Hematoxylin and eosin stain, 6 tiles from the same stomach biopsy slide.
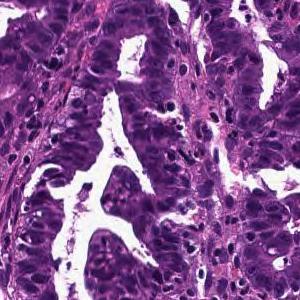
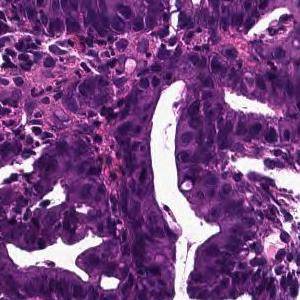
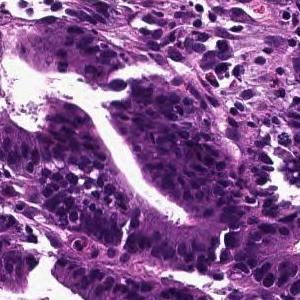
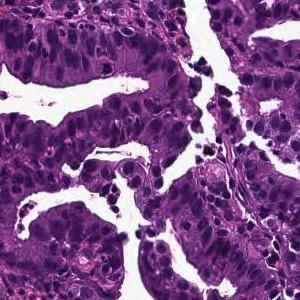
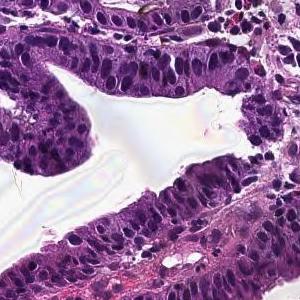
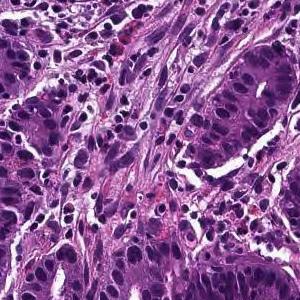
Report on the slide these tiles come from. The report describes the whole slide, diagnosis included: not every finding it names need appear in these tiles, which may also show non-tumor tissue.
Tumor cells are large, highly columnar, large club-shaped nuclei, and are associated with chromatin aggregation. Papillary adenocarcinoma.
